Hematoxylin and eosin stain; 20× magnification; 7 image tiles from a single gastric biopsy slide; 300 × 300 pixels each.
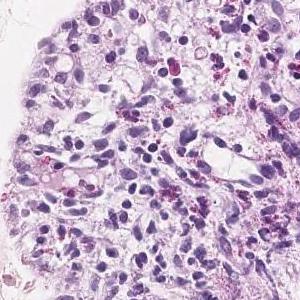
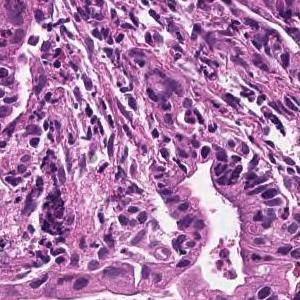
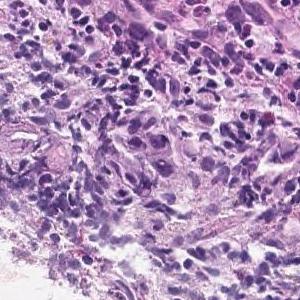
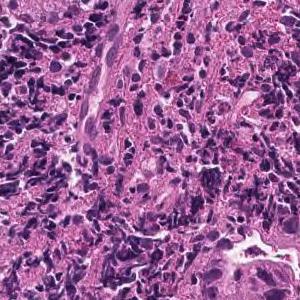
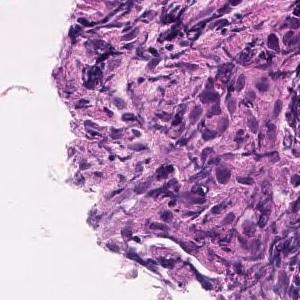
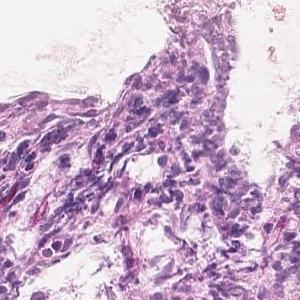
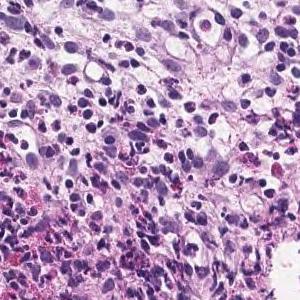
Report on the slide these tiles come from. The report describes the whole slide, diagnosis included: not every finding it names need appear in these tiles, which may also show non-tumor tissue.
In the superficial epithelium, tumor tissue that invades by forming medium-sized to small, irregular ducts is observed. moderately differentiated tubular adenocarcinoma.
